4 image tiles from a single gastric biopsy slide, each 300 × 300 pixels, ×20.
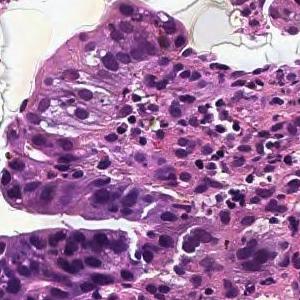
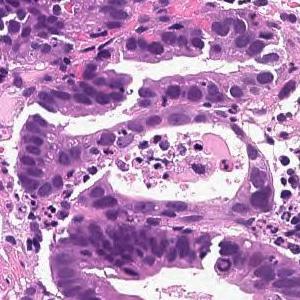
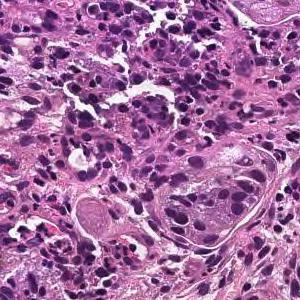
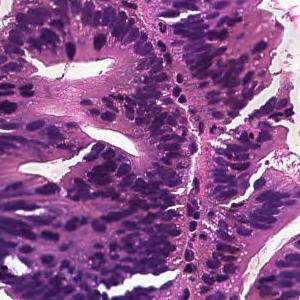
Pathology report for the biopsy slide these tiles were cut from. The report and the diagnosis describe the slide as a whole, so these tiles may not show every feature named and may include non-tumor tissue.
On the superficial epithelium, tumor tissue consisting of large irregular glandular ducts partially fused and infiltrated is observed. Well to moderately differentiated tubular adenocarcinoma (well differentiated tubular adenocarcinoma, moderately differentiated tubular adenocarcinoma)
Histological subtype: Well to moderately differentiated tubular adenocarcinoma.
